7 patches cut from one gastric biopsy slide · 300 × 300 pixels each · scanned at ×20 · hematoxylin and eosin stain.
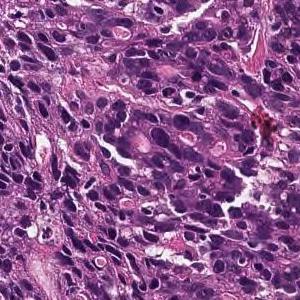
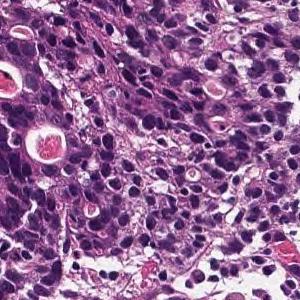
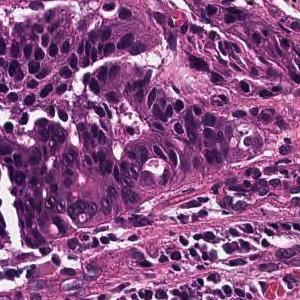
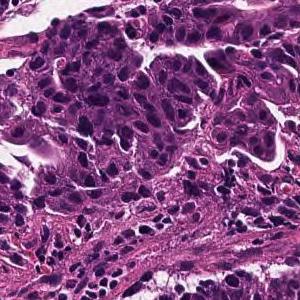
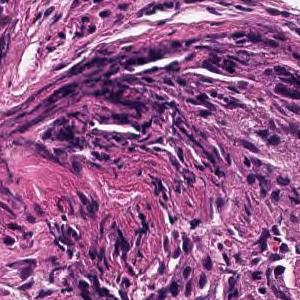
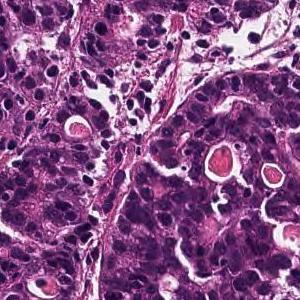
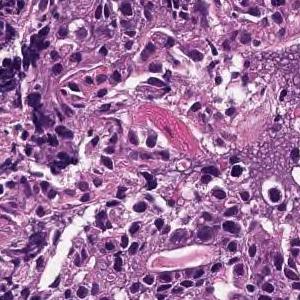
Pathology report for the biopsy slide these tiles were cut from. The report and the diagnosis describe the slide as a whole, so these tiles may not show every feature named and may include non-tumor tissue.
Medium to small, irregular glandular ducts are formed in the superficial epithelium, and in some cases, the glandular ducts are fused to show solid alveolar lesions and infiltrating tumor tissue is observed. Moderately to poorly differentiated adenocarcinoma.
